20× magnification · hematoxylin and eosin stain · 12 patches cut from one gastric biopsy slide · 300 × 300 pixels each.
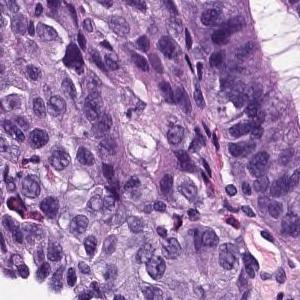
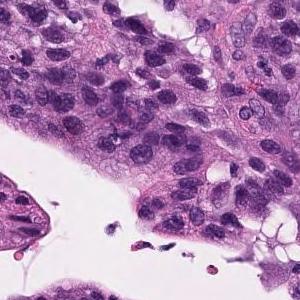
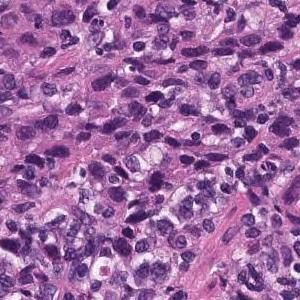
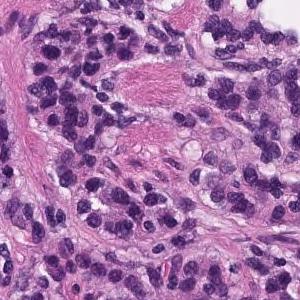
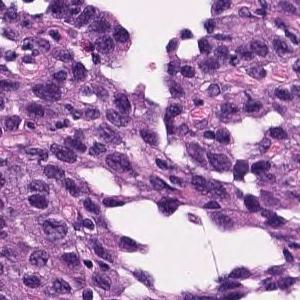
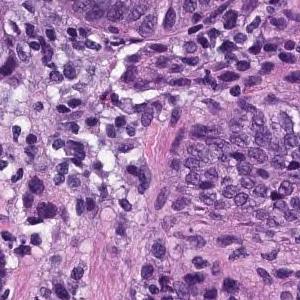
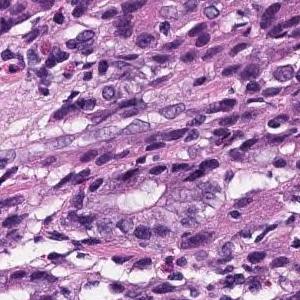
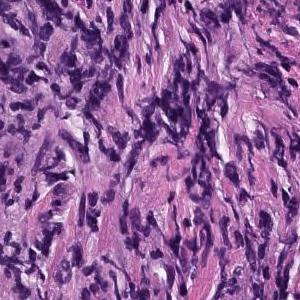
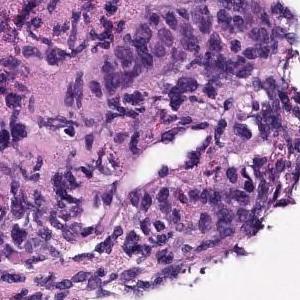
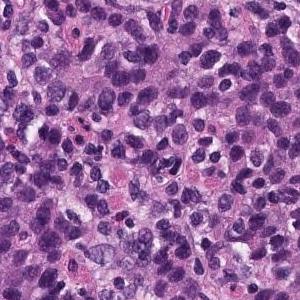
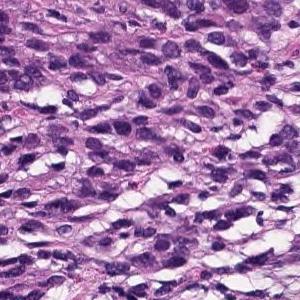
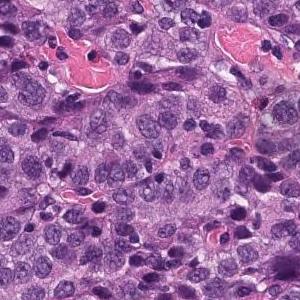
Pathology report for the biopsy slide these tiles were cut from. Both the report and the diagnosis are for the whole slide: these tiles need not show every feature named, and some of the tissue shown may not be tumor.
In the superficial epithelium, tumor tissue that invades by forming medium-sized to small, irregular ducts is observed. Moderately differentiated adenocarcinoma.
Subtype: Moderately differentiated tubular adenocarcinoma.
